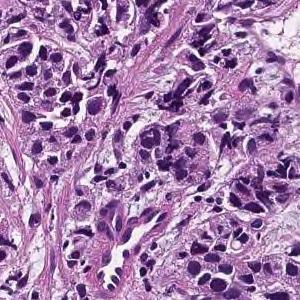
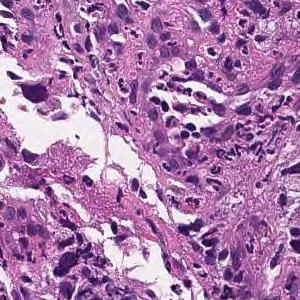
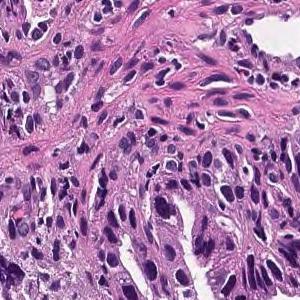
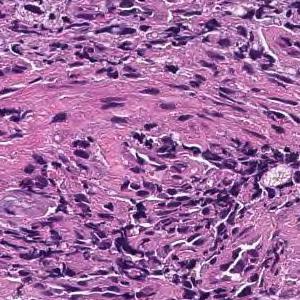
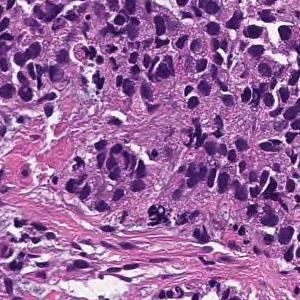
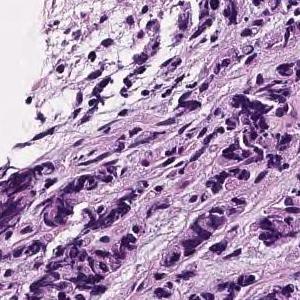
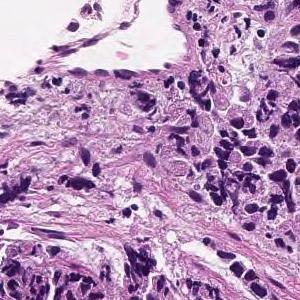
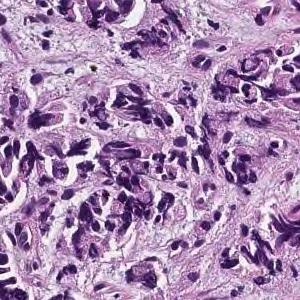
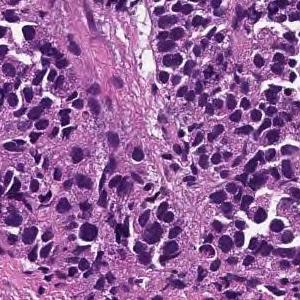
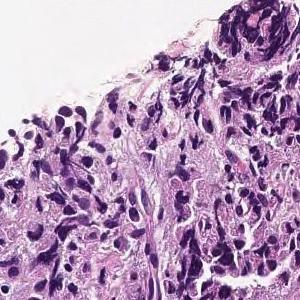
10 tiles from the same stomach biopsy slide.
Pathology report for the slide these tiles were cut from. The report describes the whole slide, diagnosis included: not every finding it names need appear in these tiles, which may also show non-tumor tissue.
The lamina propria shows small cord-like tumor tissue that infiltrates with fibrosis and marked chronic inflammatory cell infiltration. Poorly differentiated adenocarcinoma, non-solid type
The non-solid type named here is a Japanese Classification of Gastric Carcinoma category.
